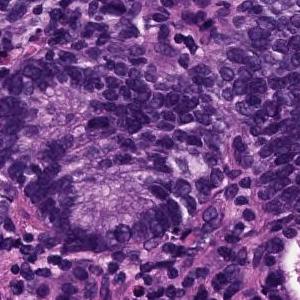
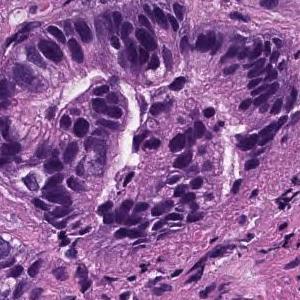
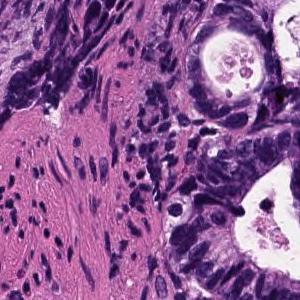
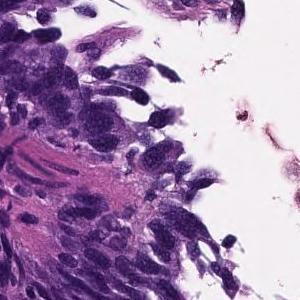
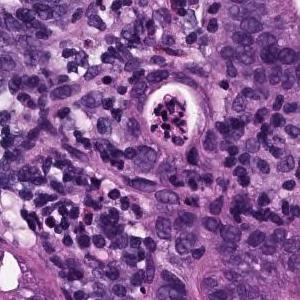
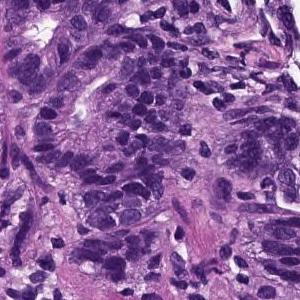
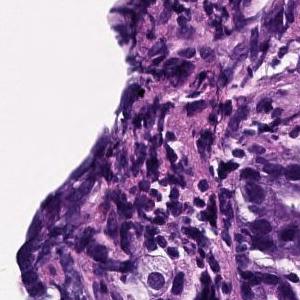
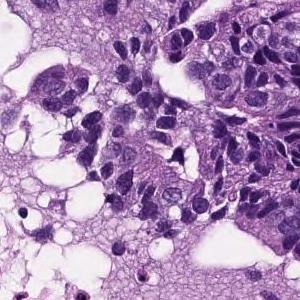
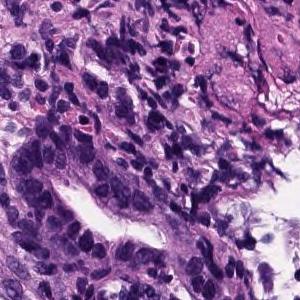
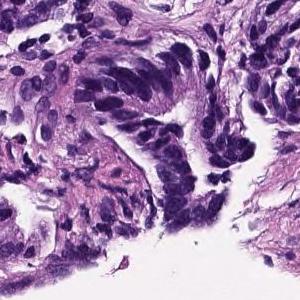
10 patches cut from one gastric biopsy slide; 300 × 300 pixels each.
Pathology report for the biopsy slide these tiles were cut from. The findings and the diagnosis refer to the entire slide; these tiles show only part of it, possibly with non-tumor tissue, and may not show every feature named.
In the superficial epithelium, tumor tissue that invades by forming medium-sized to small, irregular ducts is observed. Moderately differentiated adenocarcinoma.
Tumor subtype: moderately differentiated tubular adenocarcinoma.
